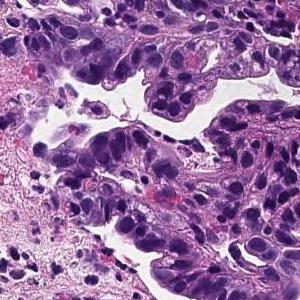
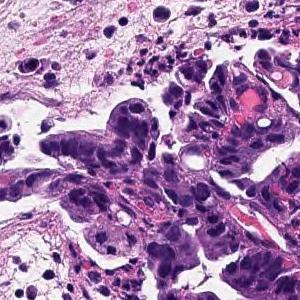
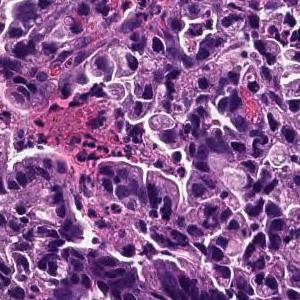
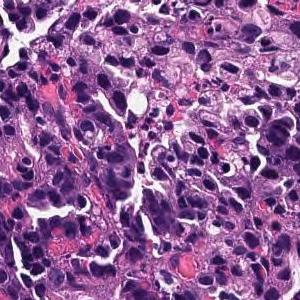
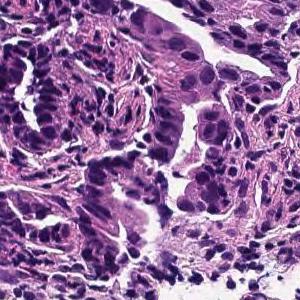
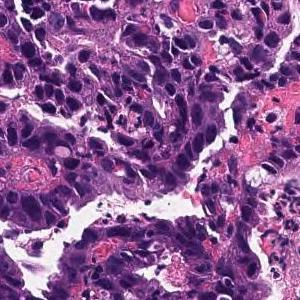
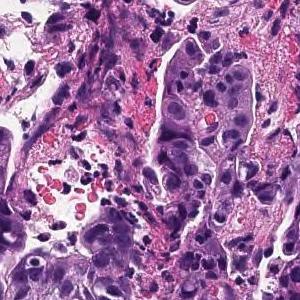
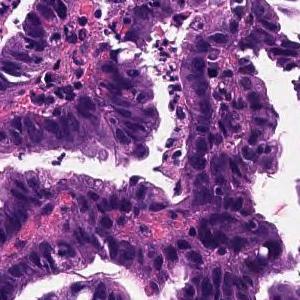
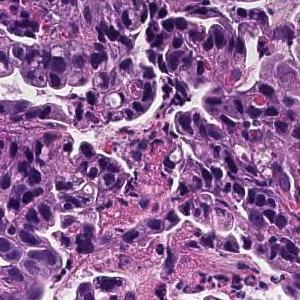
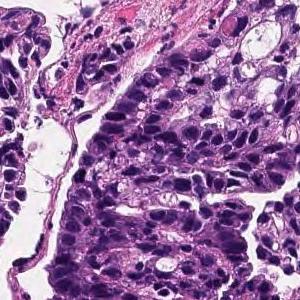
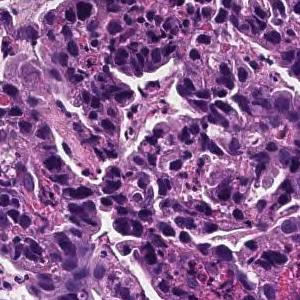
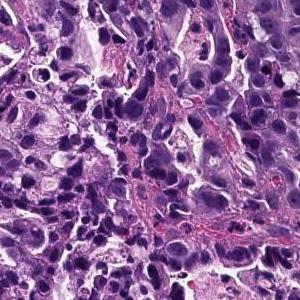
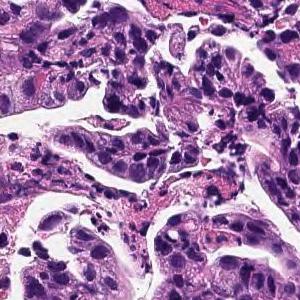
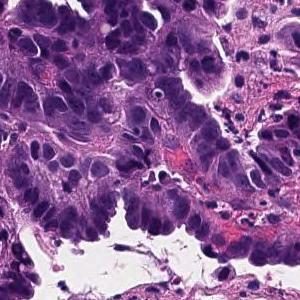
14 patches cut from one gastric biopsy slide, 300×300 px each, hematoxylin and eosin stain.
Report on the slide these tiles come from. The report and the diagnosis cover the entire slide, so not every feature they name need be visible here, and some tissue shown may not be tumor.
Infiltrating tumor tissue is observed in the superficial epithelium, showing large papillary structures or large and small ducts. Papillary adenocarcinoma
